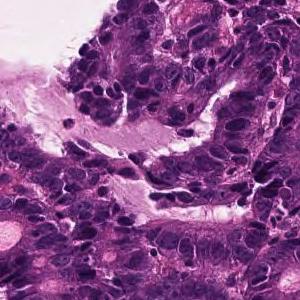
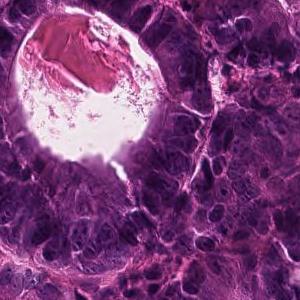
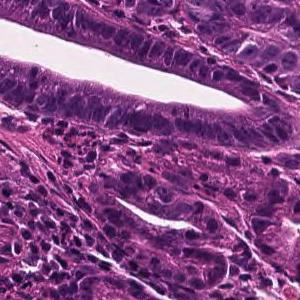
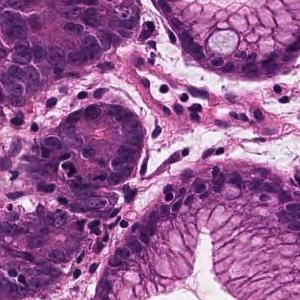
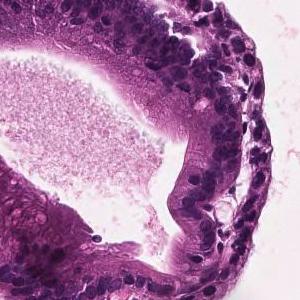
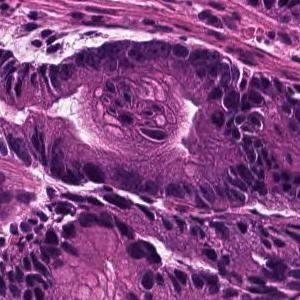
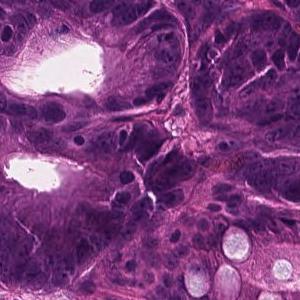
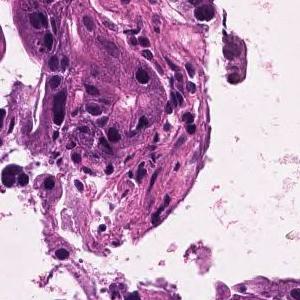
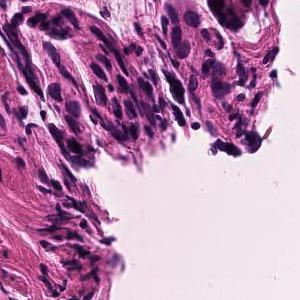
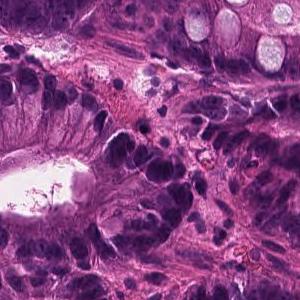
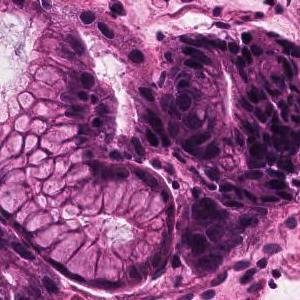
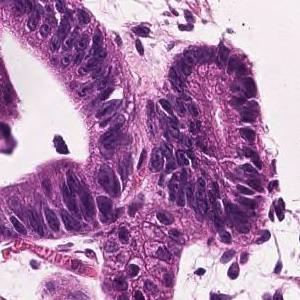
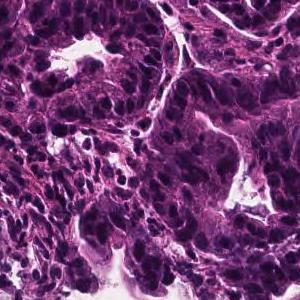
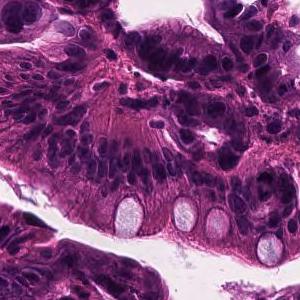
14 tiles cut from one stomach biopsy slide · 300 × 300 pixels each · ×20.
Pathology report for the slide these tiles were cut from. The report and the diagnosis describe the slide as a whole, so these tiles may not show every feature named and may include non-tumor tissue.
In the superficial epithelium, tumor tissue that invades by forming medium-sized to small, irregular ducts is observed. Well differentiated tubular adenocarcinoma.
